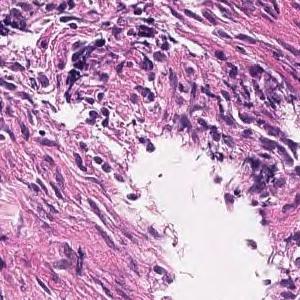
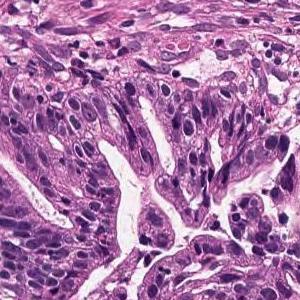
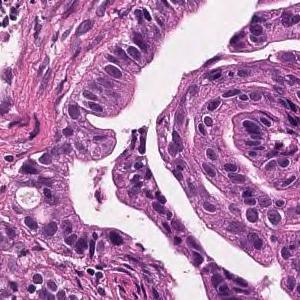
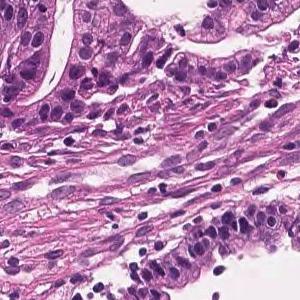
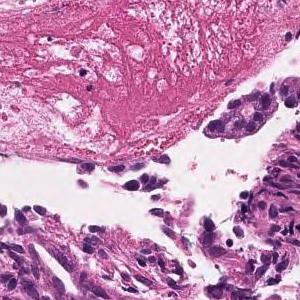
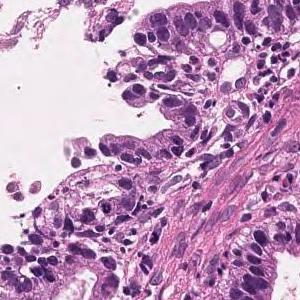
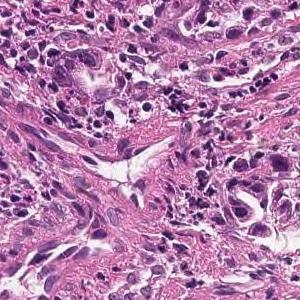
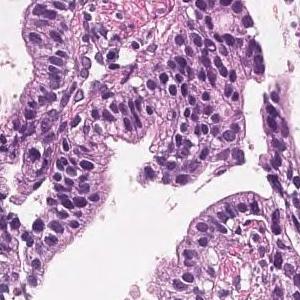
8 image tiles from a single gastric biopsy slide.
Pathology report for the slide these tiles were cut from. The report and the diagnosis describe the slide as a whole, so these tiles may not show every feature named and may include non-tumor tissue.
Tumor cells are large, highly columnar, large club-shaped nuclei, and are associated with chromatin aggregation. Papillary adenocarcinoma.
